15 image tiles from a single gastric biopsy slide; 300×300 px each; hematoxylin and eosin stain.
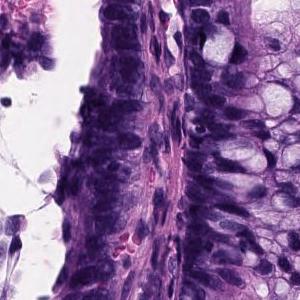
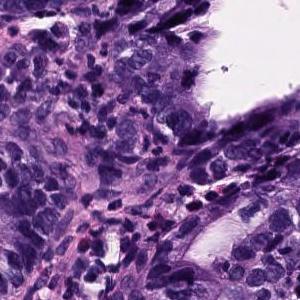
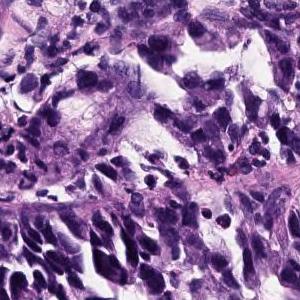
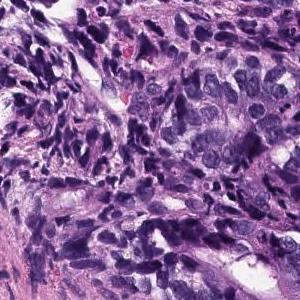
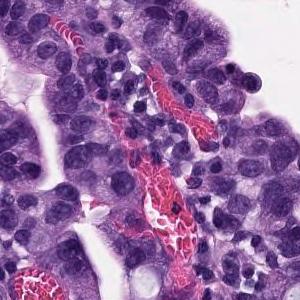
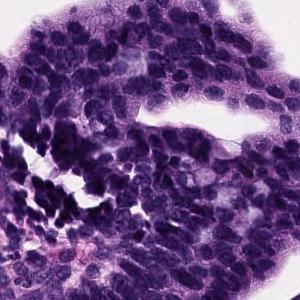
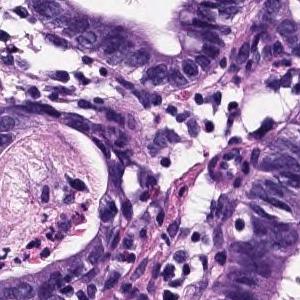
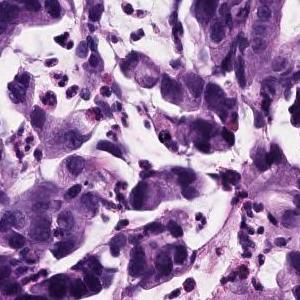
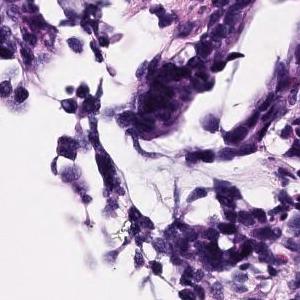
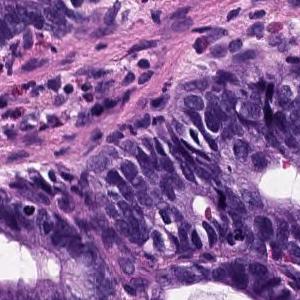
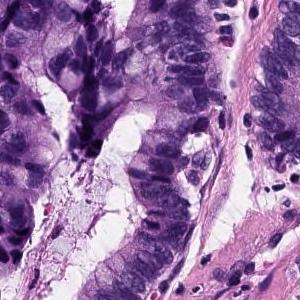
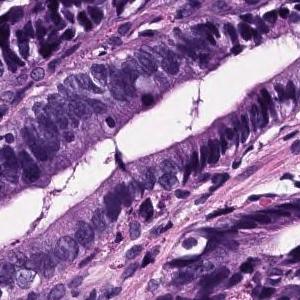
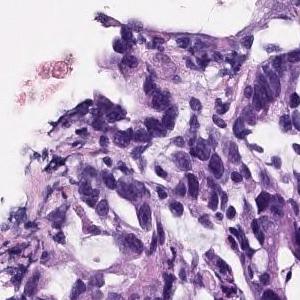
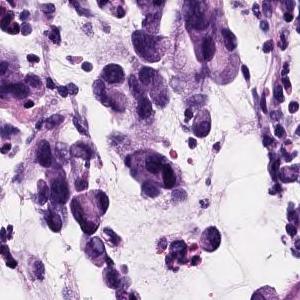
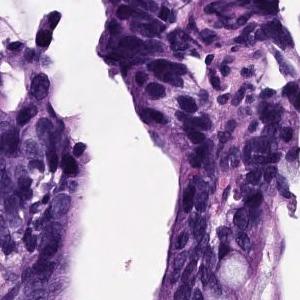
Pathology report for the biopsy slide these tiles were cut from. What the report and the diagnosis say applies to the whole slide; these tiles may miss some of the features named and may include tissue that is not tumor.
Atypical epithelium proliferating showing villus construction and irregular gland duct construction is observed. Moderately differentiated tubular adenocarcinoma.
